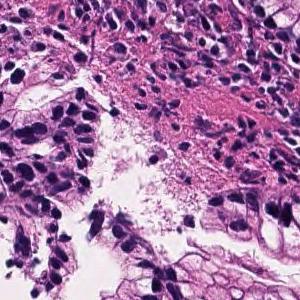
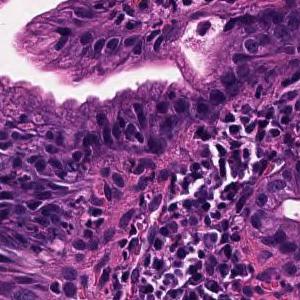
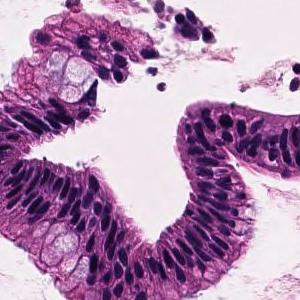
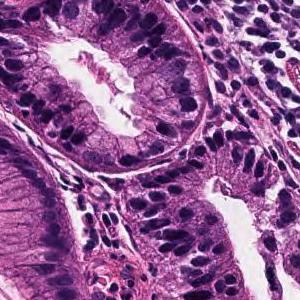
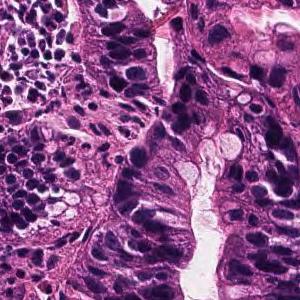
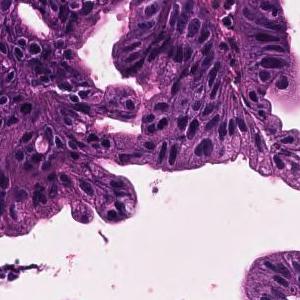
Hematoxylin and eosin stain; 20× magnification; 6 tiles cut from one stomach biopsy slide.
Diagnostic report for the slide these tiles come from. The report describes the whole slide, diagnosis included: not every finding it names need appear in these tiles, which may also show non-tumor tissue.
Tumor cells are large, highly columnar, large club-shaped nuclei, and are associated with chromatin aggregation. Papillary adenocarcinoma.
